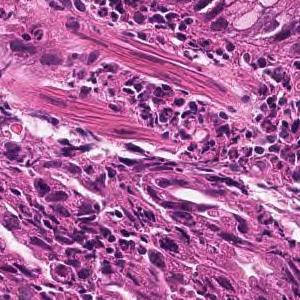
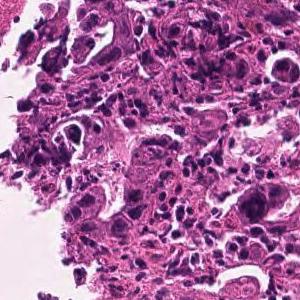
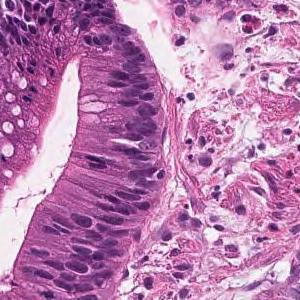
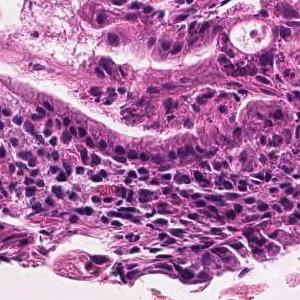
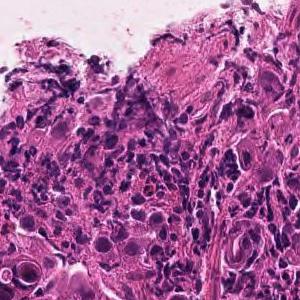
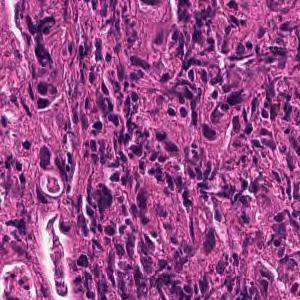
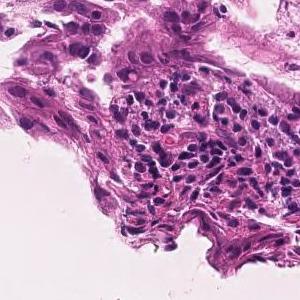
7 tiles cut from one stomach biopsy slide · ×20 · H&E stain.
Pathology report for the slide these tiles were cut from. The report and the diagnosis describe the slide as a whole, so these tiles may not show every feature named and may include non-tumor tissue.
Medium to small, irregular glandular ducts are formed in the superficial epithelium, and in some cases, the glandular ducts are fused to show solid alveolar lesions and infiltrating tumor tissue is observed. Moderately to poorly differentiated adenocarcinoma.
